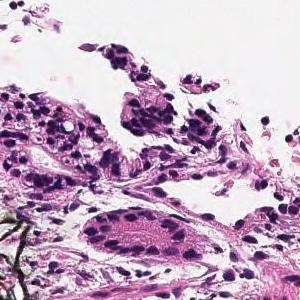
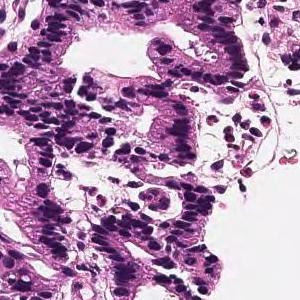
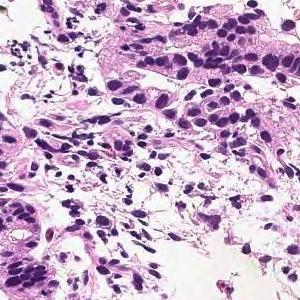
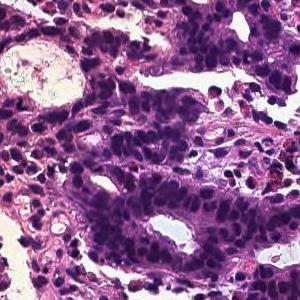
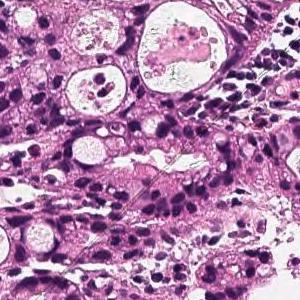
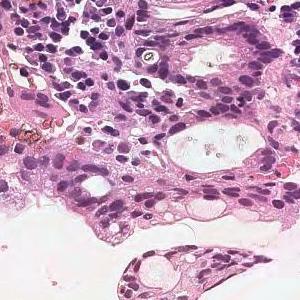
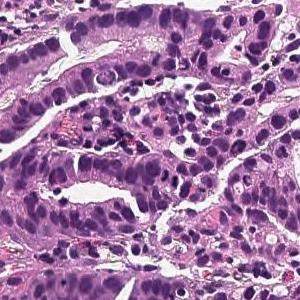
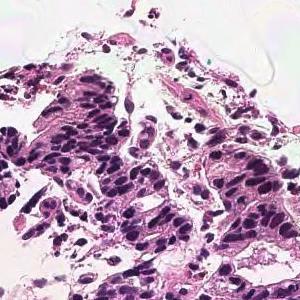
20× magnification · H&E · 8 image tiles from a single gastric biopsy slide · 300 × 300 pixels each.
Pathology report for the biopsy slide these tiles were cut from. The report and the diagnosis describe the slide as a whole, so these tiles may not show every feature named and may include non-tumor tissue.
In the superficial epithelium, tumor tissue that invades by forming medium-sized to small, irregular ducts is observed. moderately differentiated tubular adenocarcinoma.
